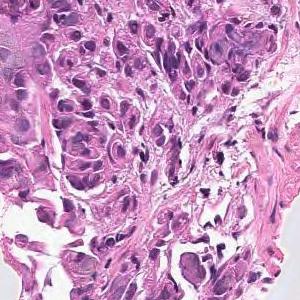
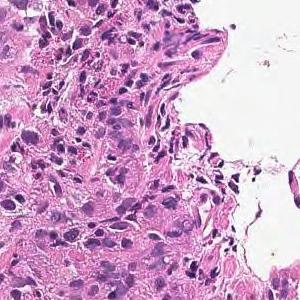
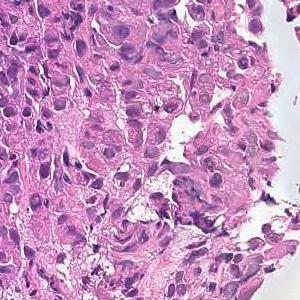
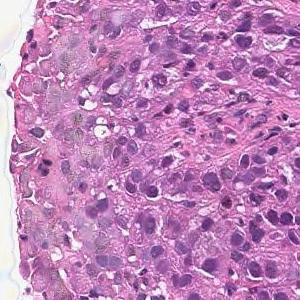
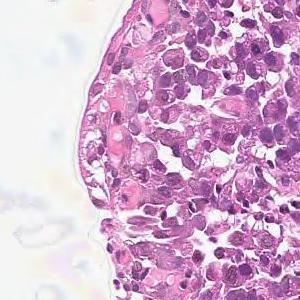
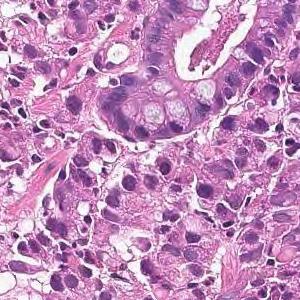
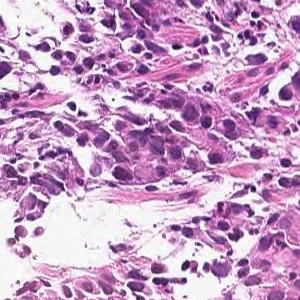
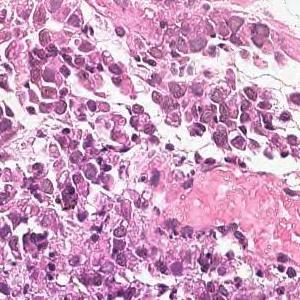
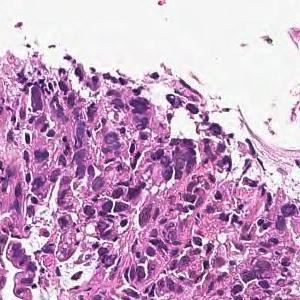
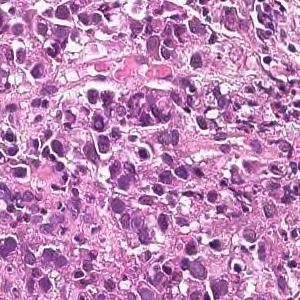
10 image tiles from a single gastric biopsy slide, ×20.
Pathology report for the slide these tiles were cut from. The findings and the diagnosis refer to the entire slide; these tiles show only part of it, possibly with non-tumor tissue, and may not show every feature named.
The superficial epithelium shows a large sheet-like shape, and some tumor tissue infiltrates with small irregular ducts. Poorly differentiated adenocarcinoma, solid-type
Classified as poorly differentiated adenocarcinoma, solid type (Japanese Classification of Gastric Carcinoma). The WHO 2019 equivalent is tubular adenocarcinoma, poorly differentiated.
